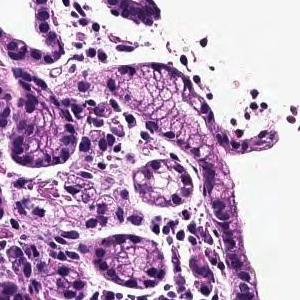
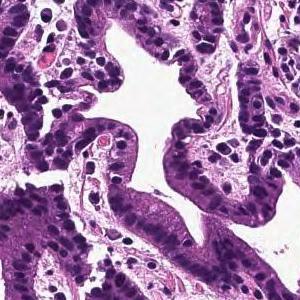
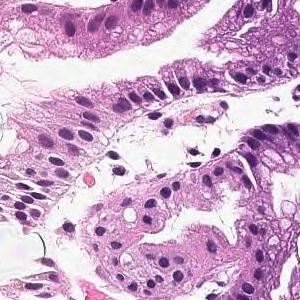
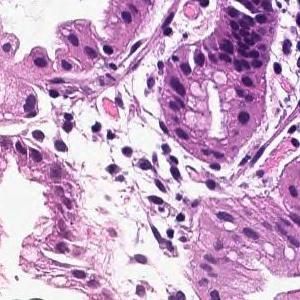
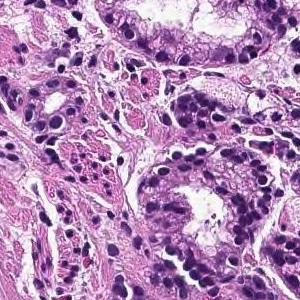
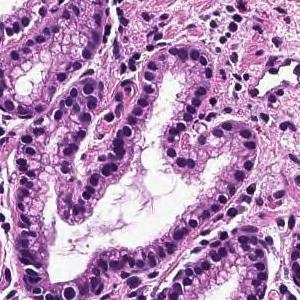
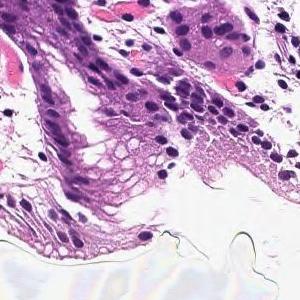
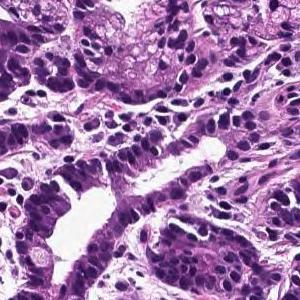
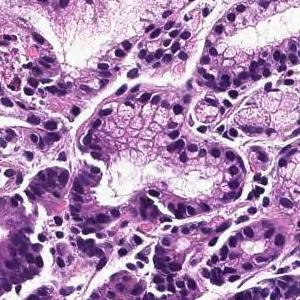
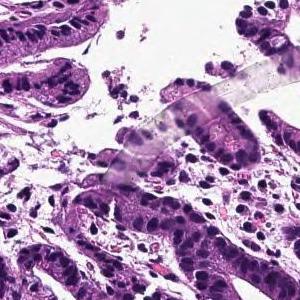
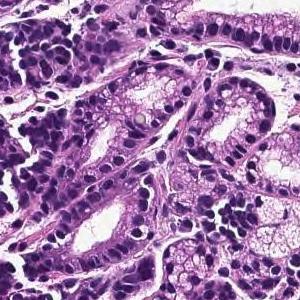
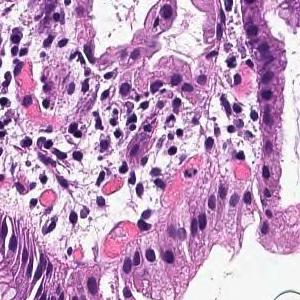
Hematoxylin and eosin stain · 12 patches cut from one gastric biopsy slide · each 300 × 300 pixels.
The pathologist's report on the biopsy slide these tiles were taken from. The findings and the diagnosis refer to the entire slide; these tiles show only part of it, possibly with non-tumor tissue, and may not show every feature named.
In the superficial epithelium, tumor tissue that invades by forming medium-sized to small, irregular ducts is observed. moderately differentiated tubular adenocarcinoma.
